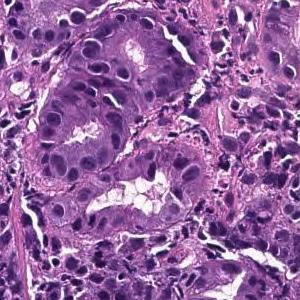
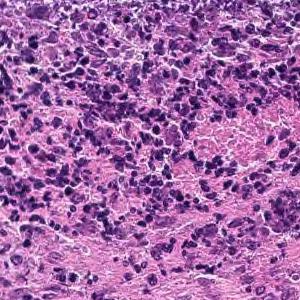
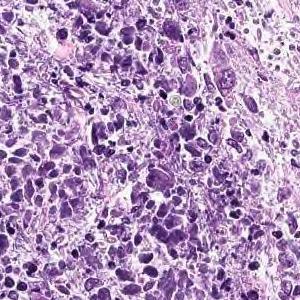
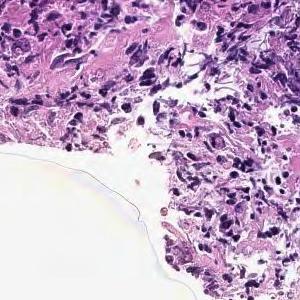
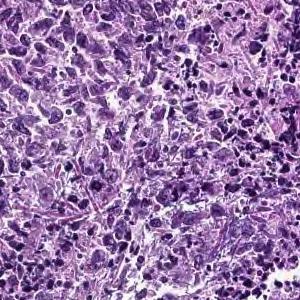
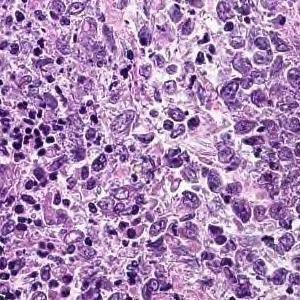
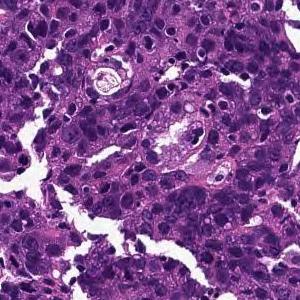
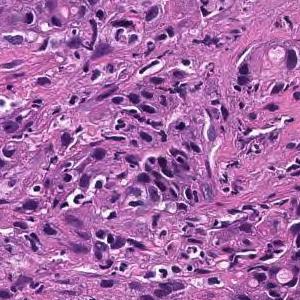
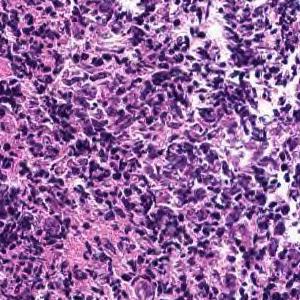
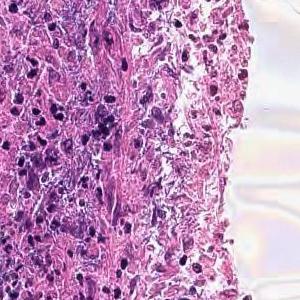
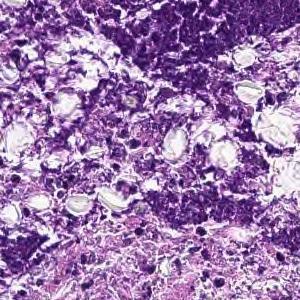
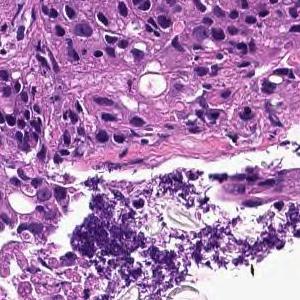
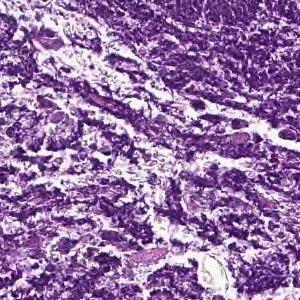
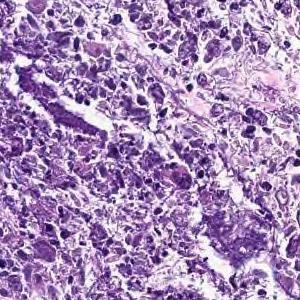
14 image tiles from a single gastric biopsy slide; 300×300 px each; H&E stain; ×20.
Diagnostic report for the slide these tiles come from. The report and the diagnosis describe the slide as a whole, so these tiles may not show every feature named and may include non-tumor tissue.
Cancers with polygonal nuclei do not show glandular formation and are densely, in part, cord-like and proliferate. Poorly differentiated adenocarcinoma
Histological subtype: Poorly differentiated adenocarcinoma, non-solid type.
The non-solid type named here is a Japanese Classification of Gastric Carcinoma category.
